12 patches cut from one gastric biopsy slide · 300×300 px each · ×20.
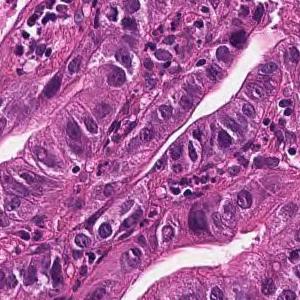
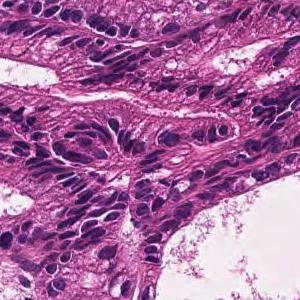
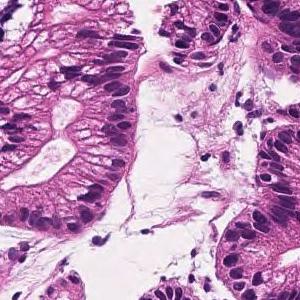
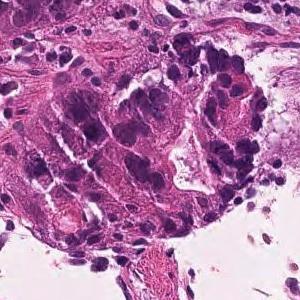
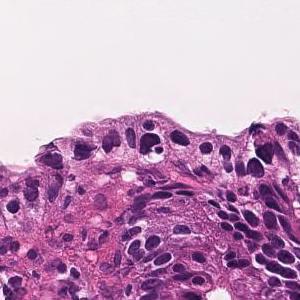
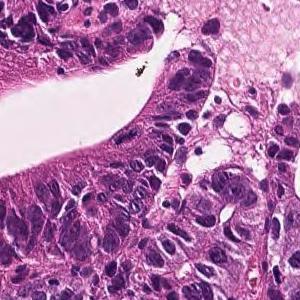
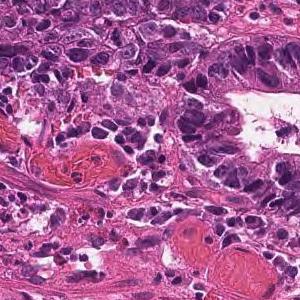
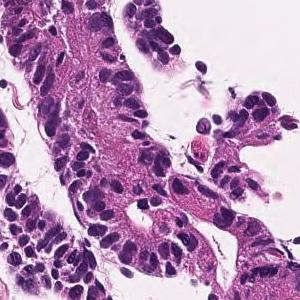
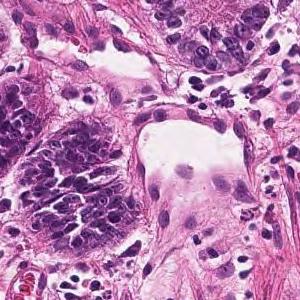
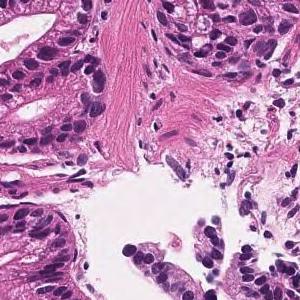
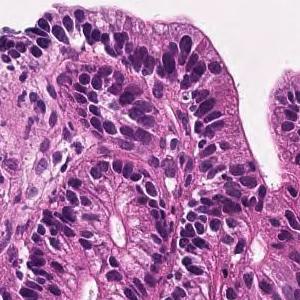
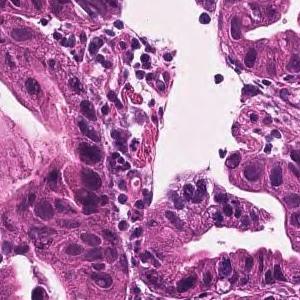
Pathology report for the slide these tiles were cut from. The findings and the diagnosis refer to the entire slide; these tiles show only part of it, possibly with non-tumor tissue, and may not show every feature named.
In the superficial epithelium, tumor tissue that invades by forming medium-sized to small, irregular ducts is observed. moderately differentiated tubular adenocarcinoma.
